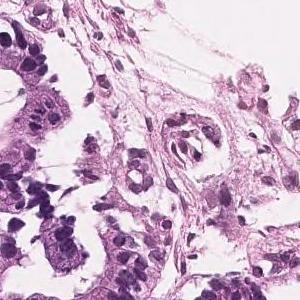
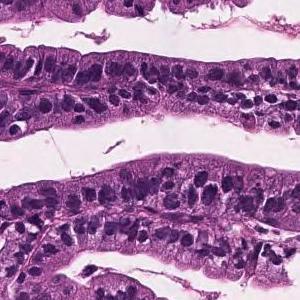
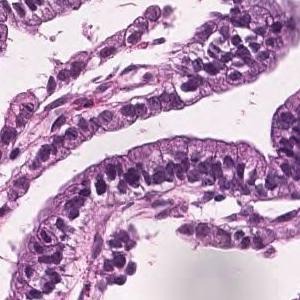
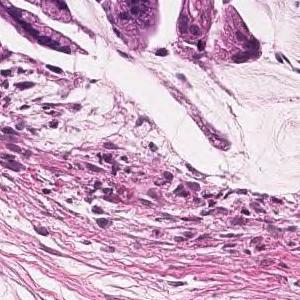
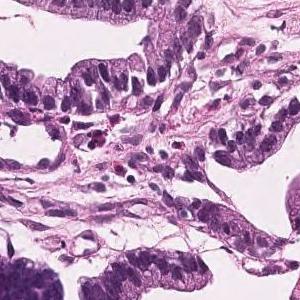
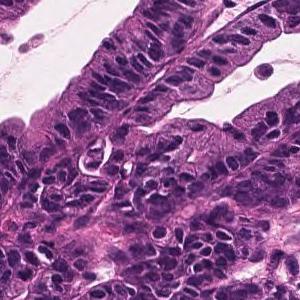
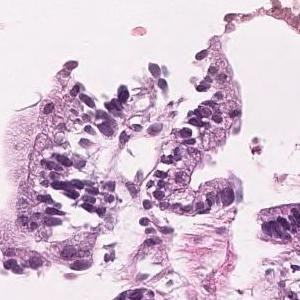
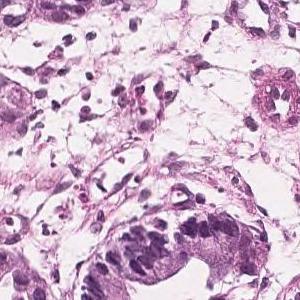
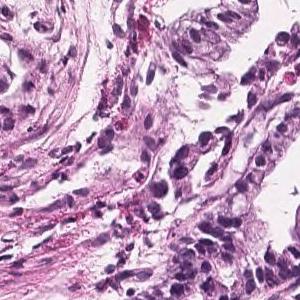
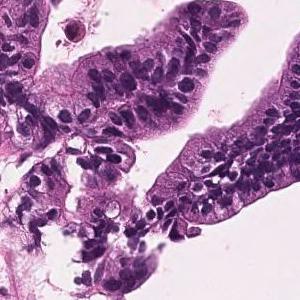
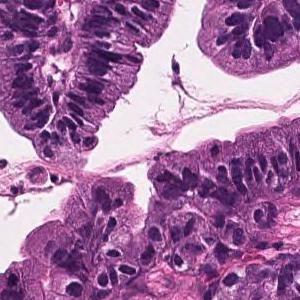
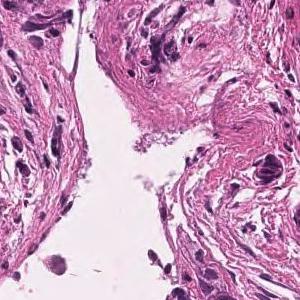
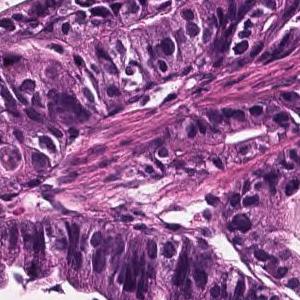
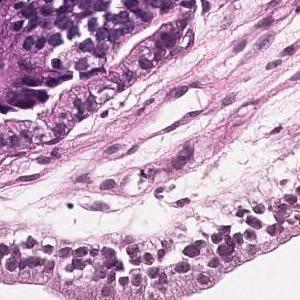
H&E; 14 image tiles from a single gastric biopsy slide; each 300 × 300 pixels.
Pathology report for the biopsy slide these tiles were cut from. The report and the diagnosis cover the entire slide, so not every feature they name need be visible here, and some tissue shown may not be tumor.
Tumor cells are large, highly columnar, large club-shaped nuclei, and are associated with chromatin aggregation. Papillary adenocarcinoma.
